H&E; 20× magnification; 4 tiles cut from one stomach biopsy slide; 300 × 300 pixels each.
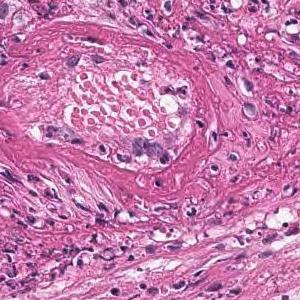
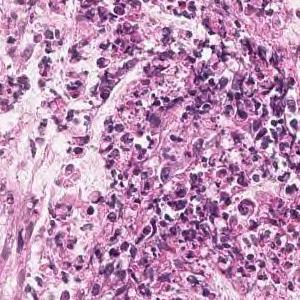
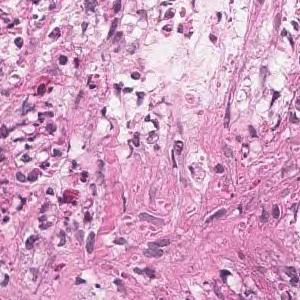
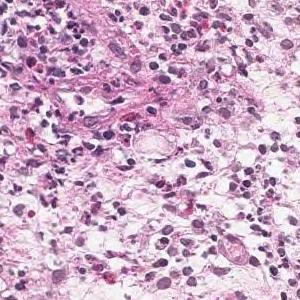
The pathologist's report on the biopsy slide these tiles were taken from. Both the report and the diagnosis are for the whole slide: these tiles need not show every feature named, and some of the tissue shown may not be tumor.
Tumor tissue is observed in which atypical epithelial cells with mucus in the vesicles proliferate while being isolated. Signet ring cell carcinoma
